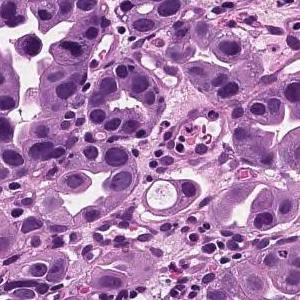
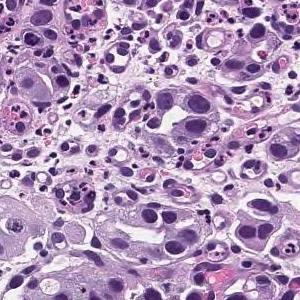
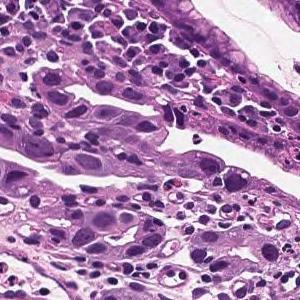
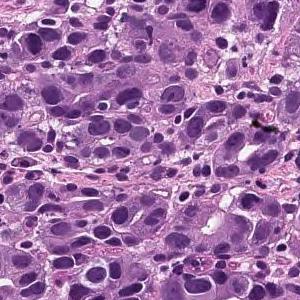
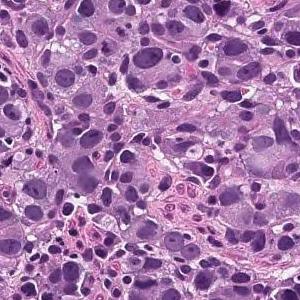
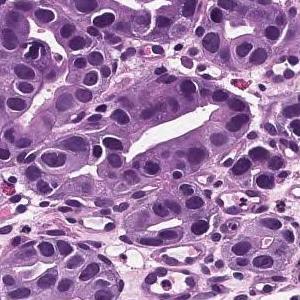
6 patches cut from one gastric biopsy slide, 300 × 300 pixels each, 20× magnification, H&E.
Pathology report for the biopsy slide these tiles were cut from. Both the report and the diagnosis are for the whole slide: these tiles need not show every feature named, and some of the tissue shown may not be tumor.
The superficial epithelium shows a large sheet or alveolar shape, and tumor tissue infiltrating without irregular ducts is observed. Poorly differentiated adenocarcinoma, solid-type
Histological subtype: Poorly differentiated adenocarcinoma, solid type, a category of the Japanese Classification of Gastric Carcinoma; in the WHO 2019 classification it is tubular adenocarcinoma, poorly differentiated.
